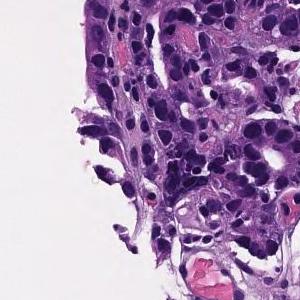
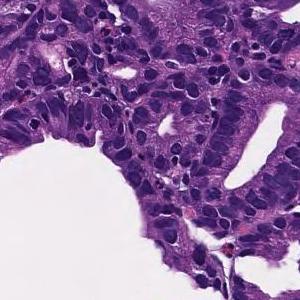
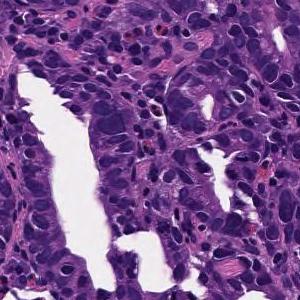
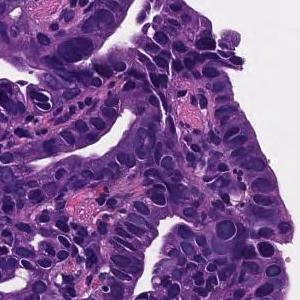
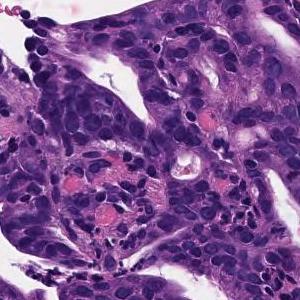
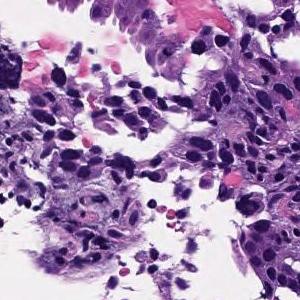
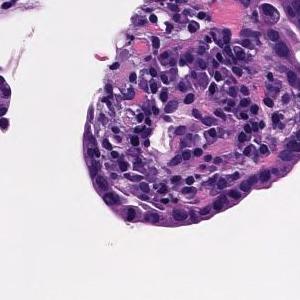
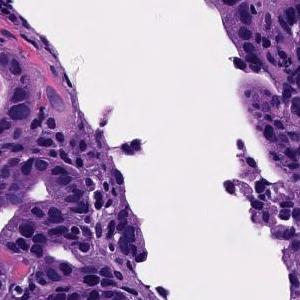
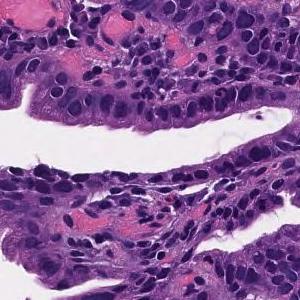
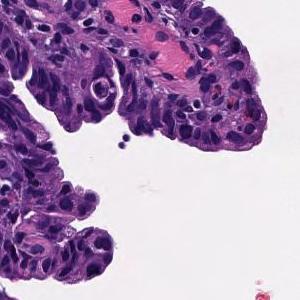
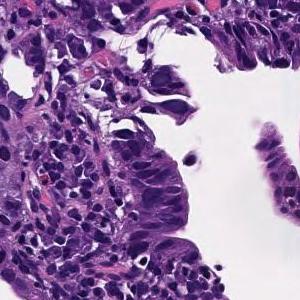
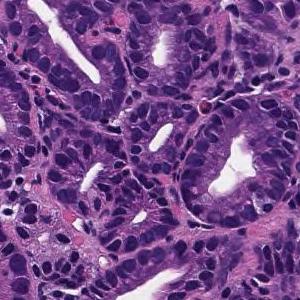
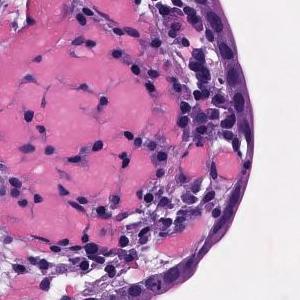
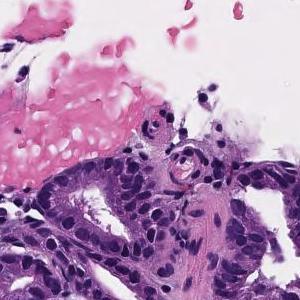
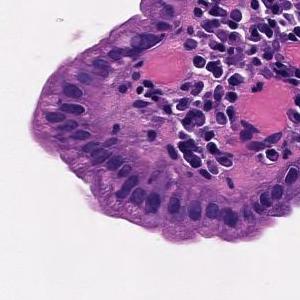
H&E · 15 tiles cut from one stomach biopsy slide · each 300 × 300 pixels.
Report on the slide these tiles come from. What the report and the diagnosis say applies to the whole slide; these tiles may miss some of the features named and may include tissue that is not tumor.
From the superficial epithelium to the muscularis mucosae, tumor tissue consisting of medium-sized and irregular glandular ducts infiltrating is observed. Well differentiated tubular adenocarcinoma
